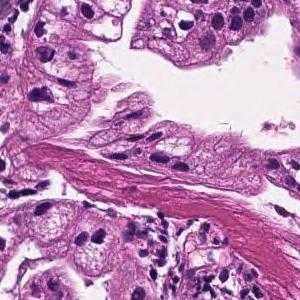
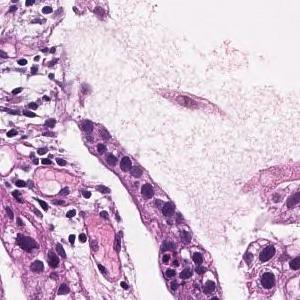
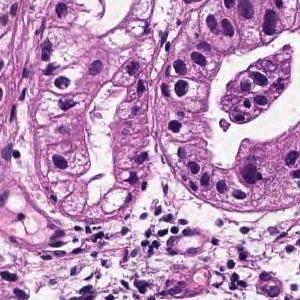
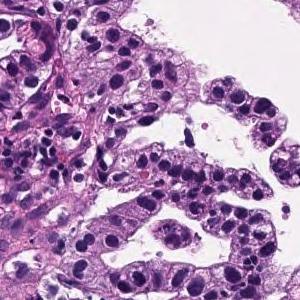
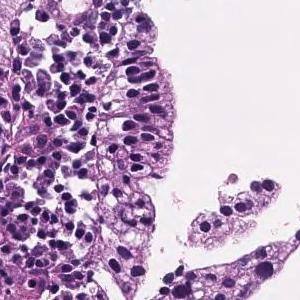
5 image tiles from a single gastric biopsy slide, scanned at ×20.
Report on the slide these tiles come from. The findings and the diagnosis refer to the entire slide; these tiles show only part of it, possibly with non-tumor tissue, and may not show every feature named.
On the superficial epithelium, tumor tissue that infiltrates by forming medium-sized papillary or small irregular ducts is observed. Papillary adenocarcinoma
